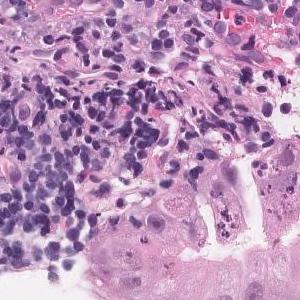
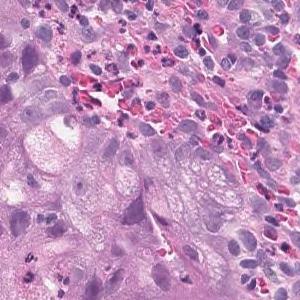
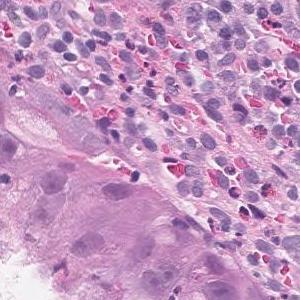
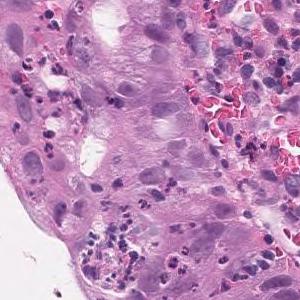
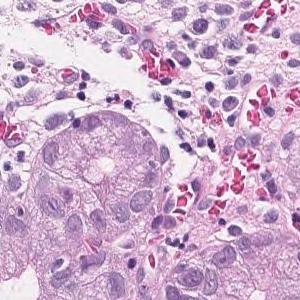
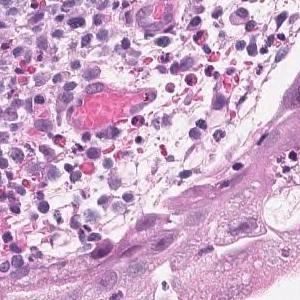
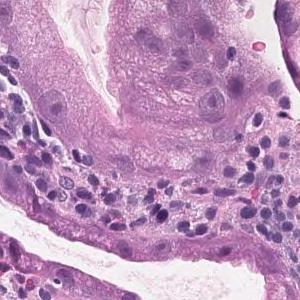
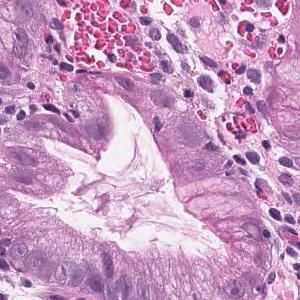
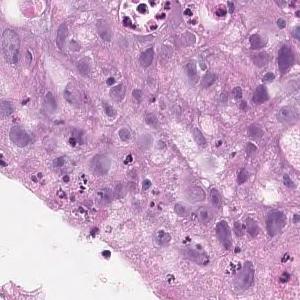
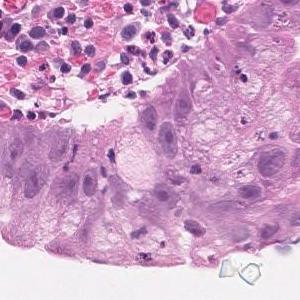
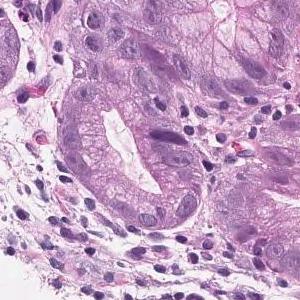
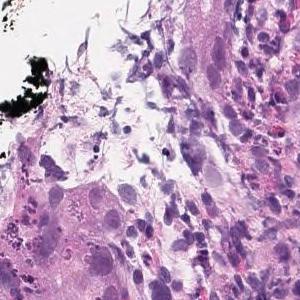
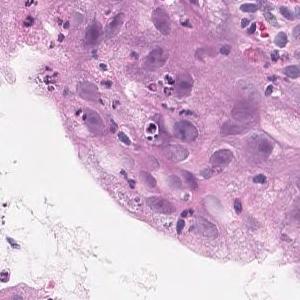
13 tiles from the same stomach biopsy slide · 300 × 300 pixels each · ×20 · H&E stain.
Diagnostic report for the slide these tiles come from. Both the report and the diagnosis are for the whole slide: these tiles need not show every feature named, and some of the tissue shown may not be tumor.
Group 5, Adenocarcinoma. Moderately differentiated tubular adenocarcinoma
